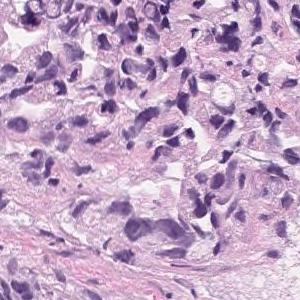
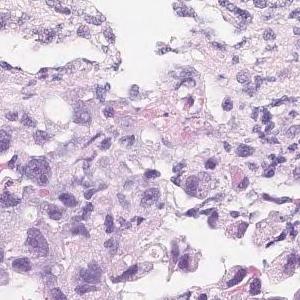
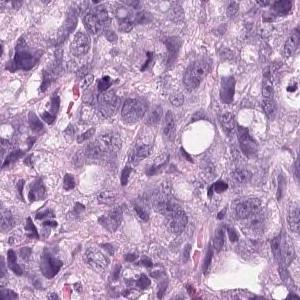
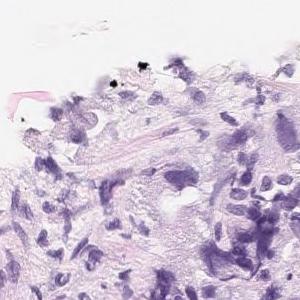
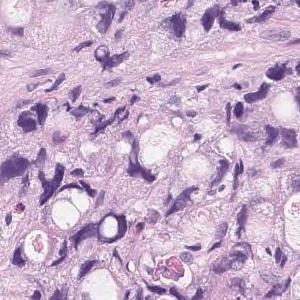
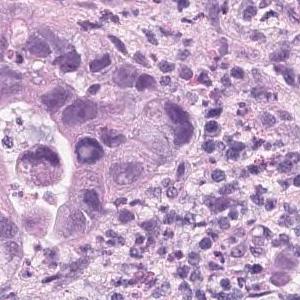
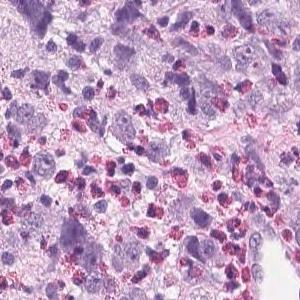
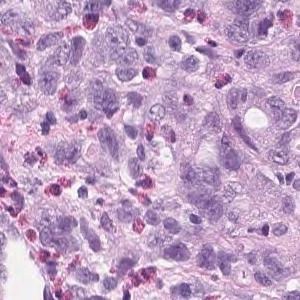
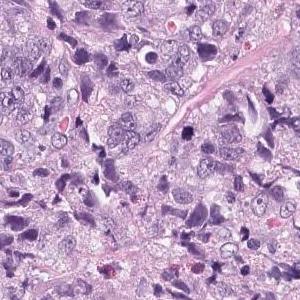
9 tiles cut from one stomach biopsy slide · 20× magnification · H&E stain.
Pathology report for the biopsy slide these tiles were cut from. What the report and the diagnosis say applies to the whole slide; these tiles may miss some of the features named and may include tissue that is not tumor.
Tumor tissue that infiltrates and proliferates by forming small glandular cavities in the superficial layer to the submucosa or forming a mass is observed. moderately differentiated tubular adenocarcinoma
